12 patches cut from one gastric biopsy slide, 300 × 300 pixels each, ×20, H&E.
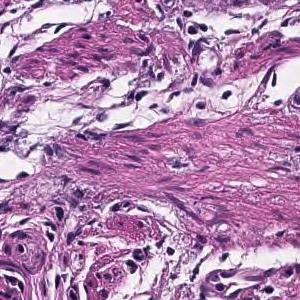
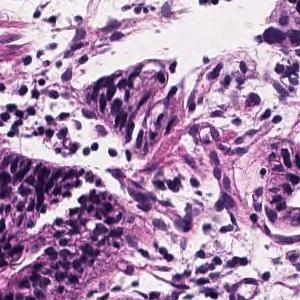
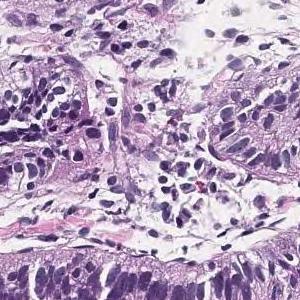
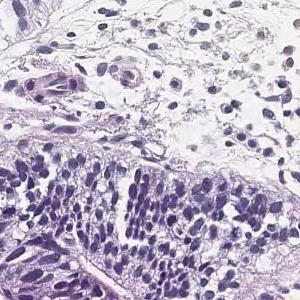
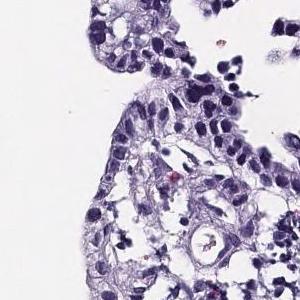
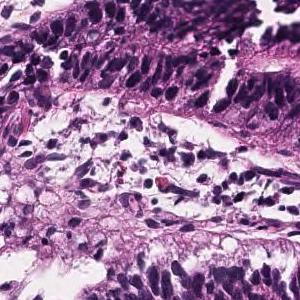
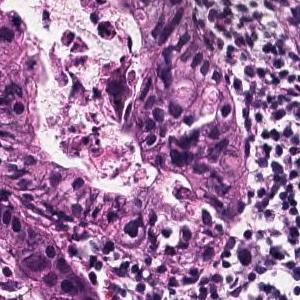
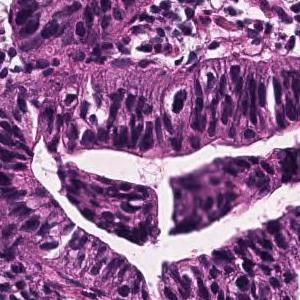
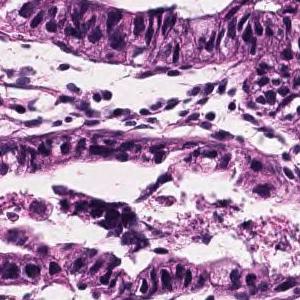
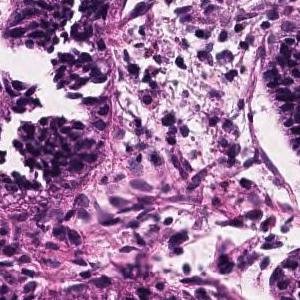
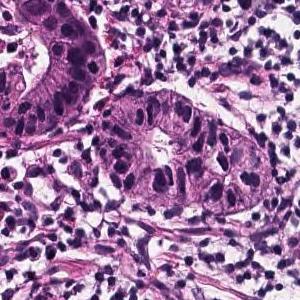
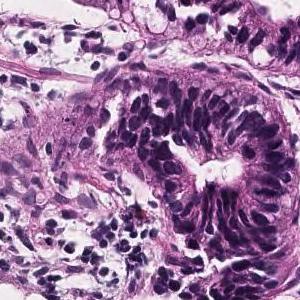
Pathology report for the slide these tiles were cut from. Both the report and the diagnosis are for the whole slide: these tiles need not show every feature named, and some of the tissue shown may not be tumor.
Tumor cells are large, highly columnar, large club-shaped nuclei, and are associated with chromatin aggregation. Papillary adenocarcinoma.
